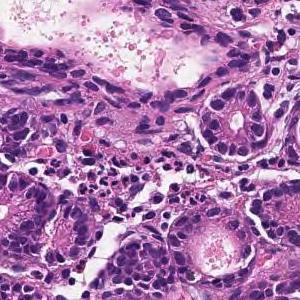
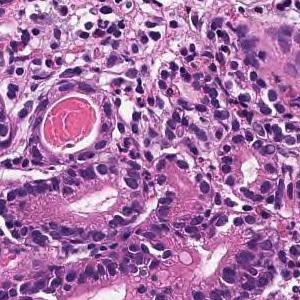
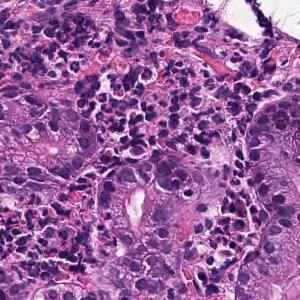
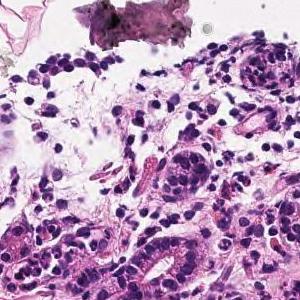
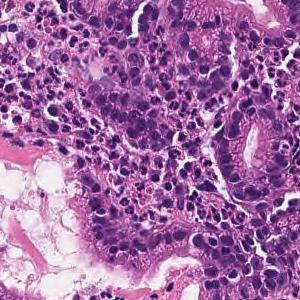
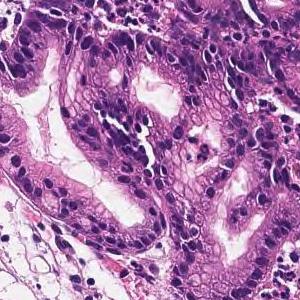
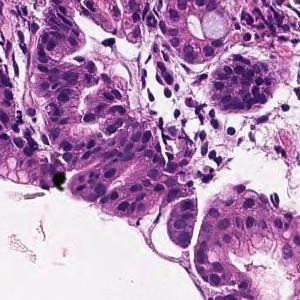
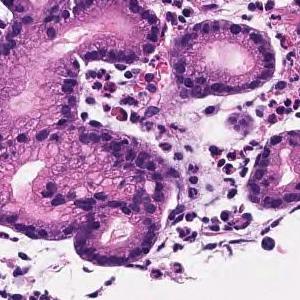
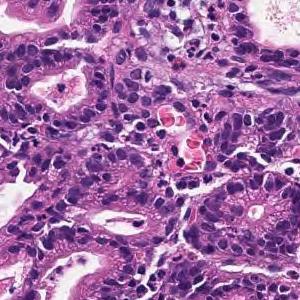
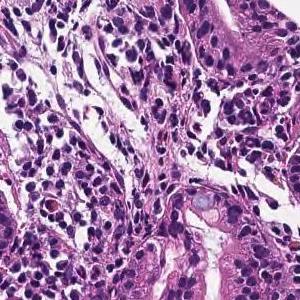
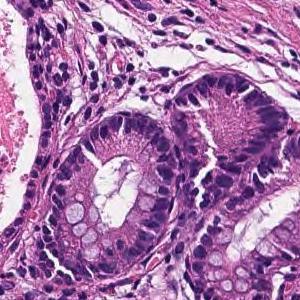
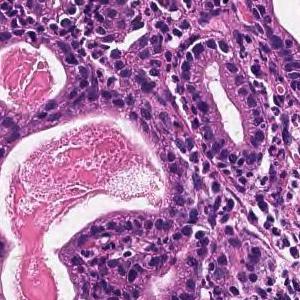
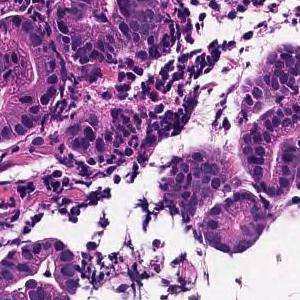
13 patches cut from one gastric biopsy slide.
Diagnostic report for the slide these tiles come from. What the report and the diagnosis say applies to the whole slide; these tiles may miss some of the features named and may include tissue that is not tumor.
Tumor tissue infiltrated and proliferated with small to medium-sized irregular tubules is observed in the superficial epithelium. Well differentiated tubular adenocarcinoma
